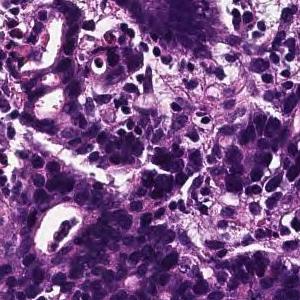
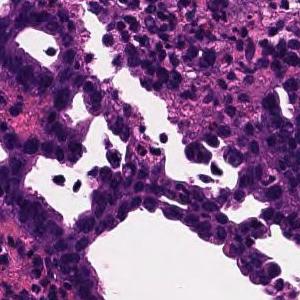
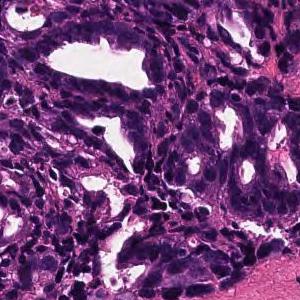
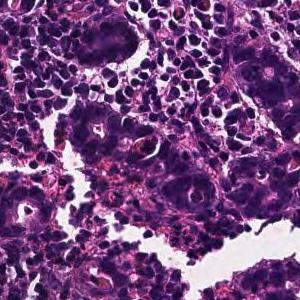
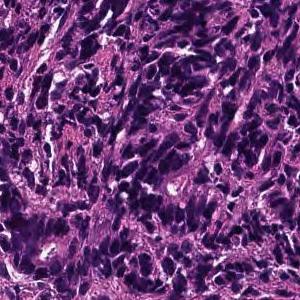
5 image tiles from a single gastric biopsy slide, 300×300 px each, ×20, H&E.
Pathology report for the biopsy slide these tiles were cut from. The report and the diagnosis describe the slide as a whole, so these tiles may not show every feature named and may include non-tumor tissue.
On the superficial epithelium, tumor tissue is found in which medium-sized irregular gland ducts fuse with each other and infiltrate. moderately differentiated tubular adenocarcinoma or Poorly differentiated adenocarcinoma, non-solid type
Subtype: Moderately to poorly differentiated adenocarcinoma.
The term "non-solid type" comes from the Japanese Classification of Gastric Carcinoma.
